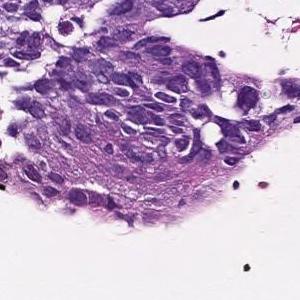
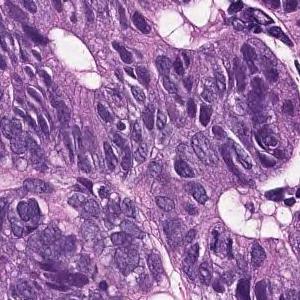
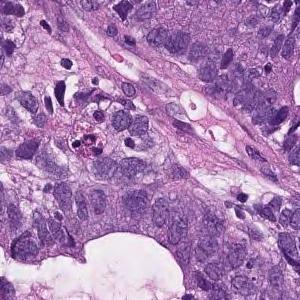
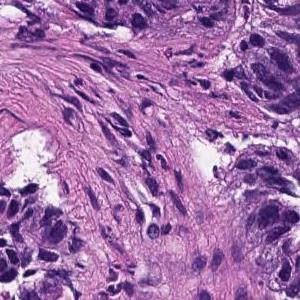
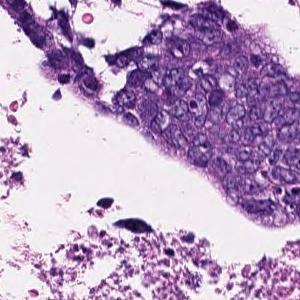
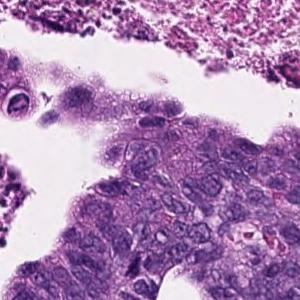
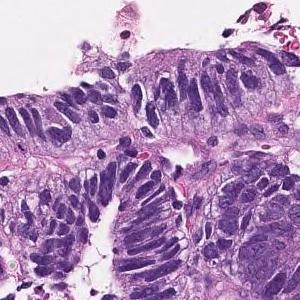
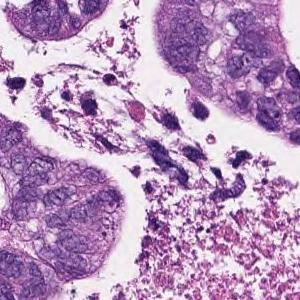
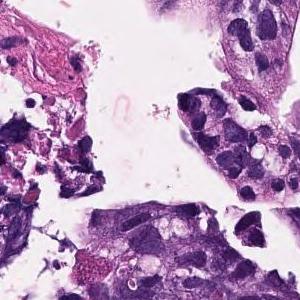
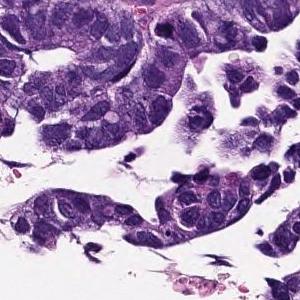
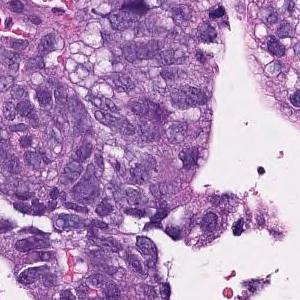
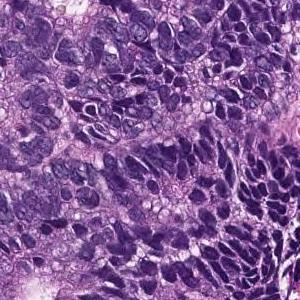
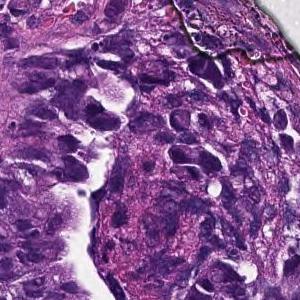
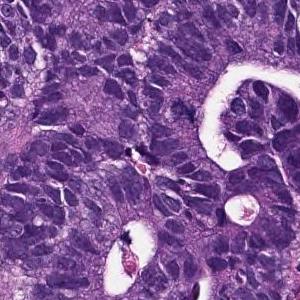
Scanned at ×20 · hematoxylin and eosin stain · 14 patches cut from one gastric biopsy slide · 300×300 px each.
Pathology report for the biopsy slide these tiles were cut from. The report describes the whole slide, diagnosis included: not every finding it names need appear in these tiles, which may also show non-tumor tissue.
In the superficial epithelium, tumor tissue that invades by forming medium-sized to small, irregular ducts is observed. moderately differentiated tubular adenocarcinoma.
